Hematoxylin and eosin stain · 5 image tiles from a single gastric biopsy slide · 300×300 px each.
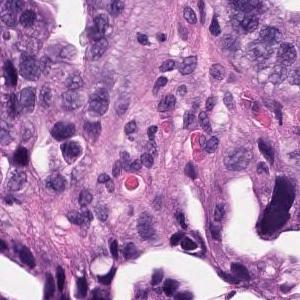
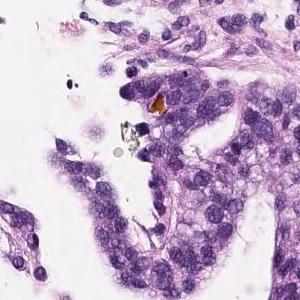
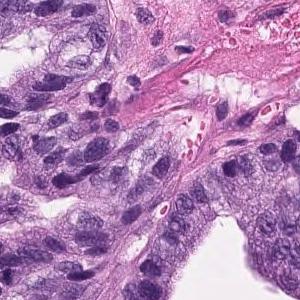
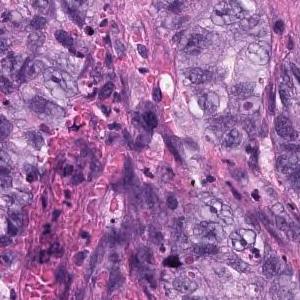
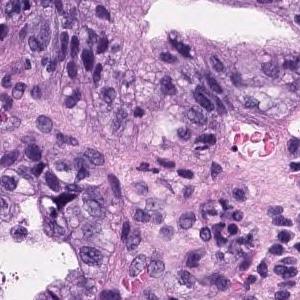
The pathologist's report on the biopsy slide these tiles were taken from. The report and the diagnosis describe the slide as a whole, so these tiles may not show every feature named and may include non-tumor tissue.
Tumor cells are large, highly columnar, large club-shaped nuclei, and are associated with chromatin aggregation. Papillary adenocarcinoma.
